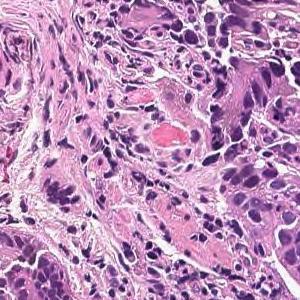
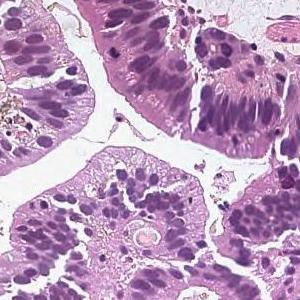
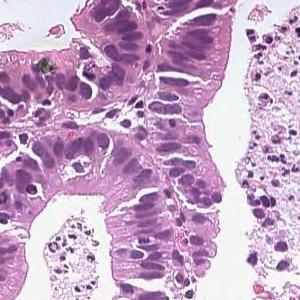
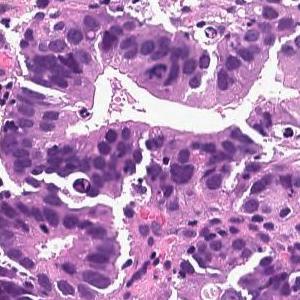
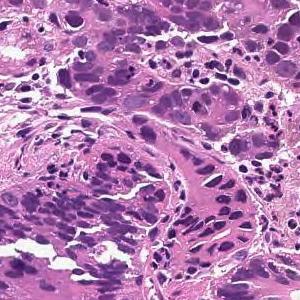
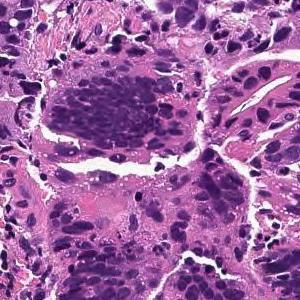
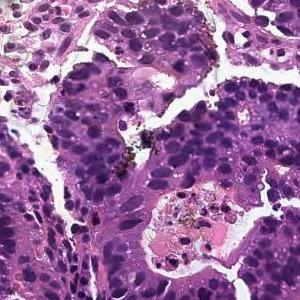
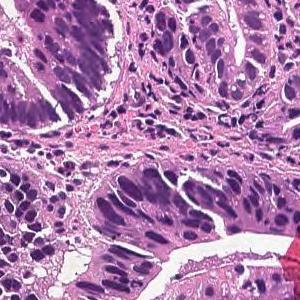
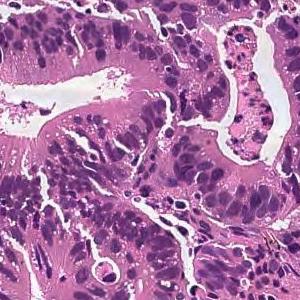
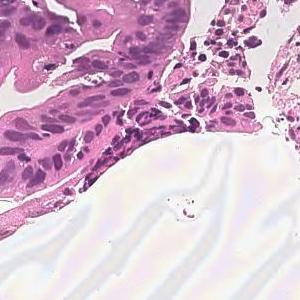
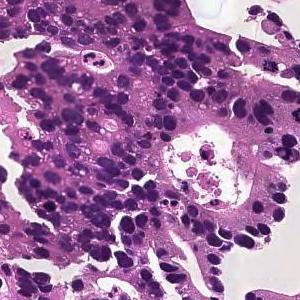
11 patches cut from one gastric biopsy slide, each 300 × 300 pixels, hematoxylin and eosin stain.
Pathology report for the slide these tiles were cut from. The report and the diagnosis describe the slide as a whole, so these tiles may not show every feature named and may include non-tumor tissue.
On the superficial epithelium, tumor tissue consisting of large irregular glandular ducts partially fused and infiltrated is observed. Well to moderately differentiated tubular adenocarcinoma (well differentiated tubular adenocarcinoma, moderately differentiated tubular adenocarcinoma)
Tumor subtype: well to moderately differentiated tubular adenocarcinoma.
